Scanned at ×20, hematoxylin and eosin stain, 9 image tiles from a single gastric biopsy slide, each 300 × 300 pixels.
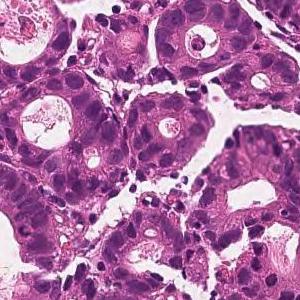
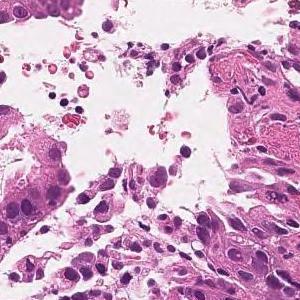
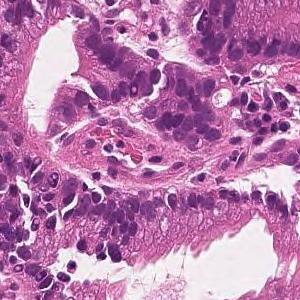
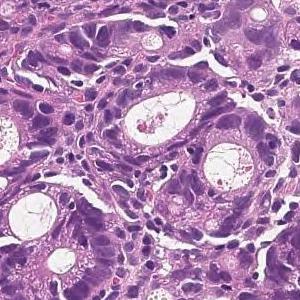
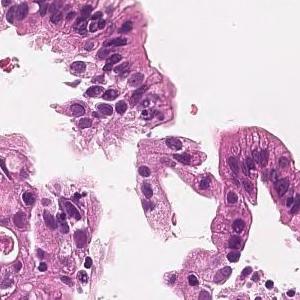
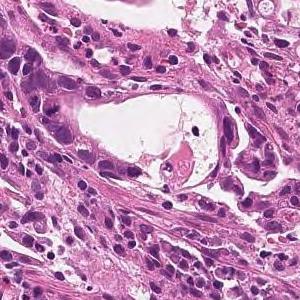
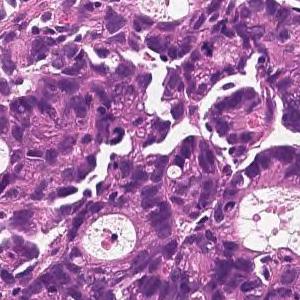
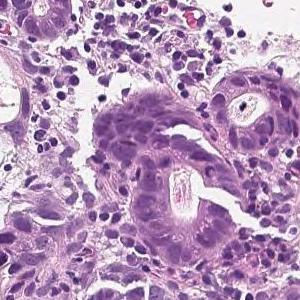
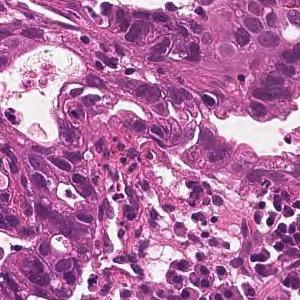
Diagnostic report for the slide these tiles come from. What the report and the diagnosis say applies to the whole slide; these tiles may miss some of the features named and may include tissue that is not tumor.
On the superficial epithelium, tumor tissue is found in which medium-sized irregular gland ducts fuse with each other and infiltrate. moderately differentiated tubular adenocarcinoma
